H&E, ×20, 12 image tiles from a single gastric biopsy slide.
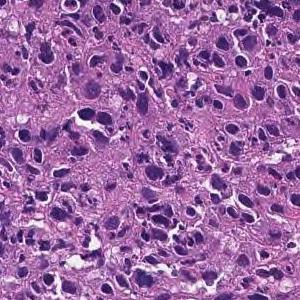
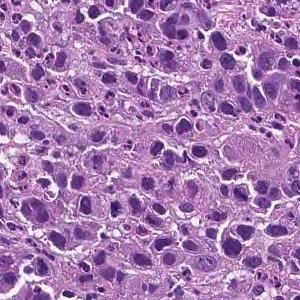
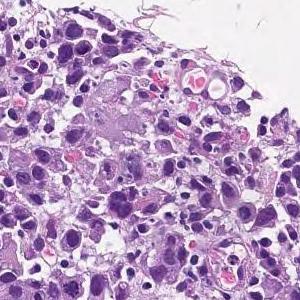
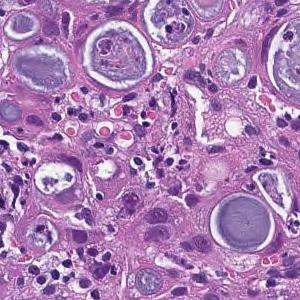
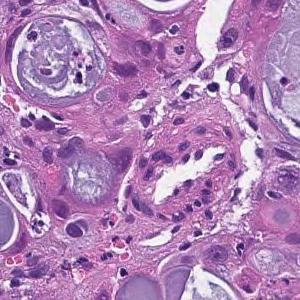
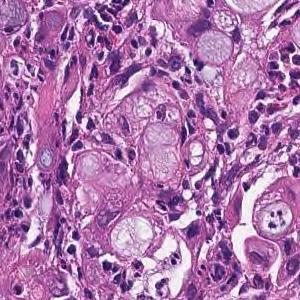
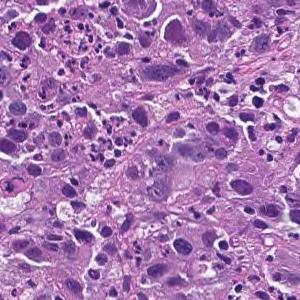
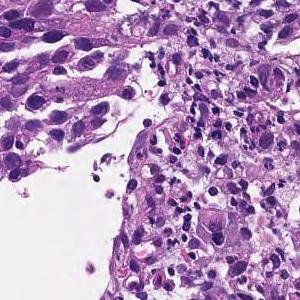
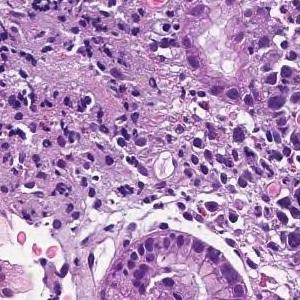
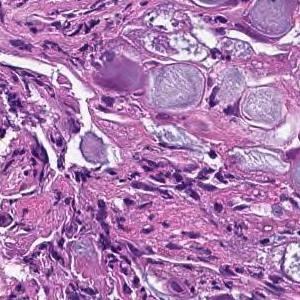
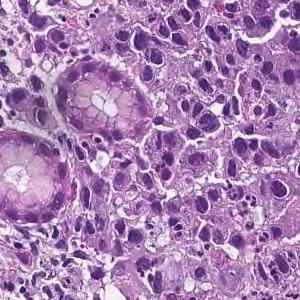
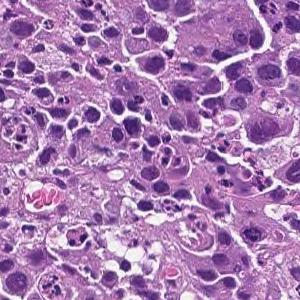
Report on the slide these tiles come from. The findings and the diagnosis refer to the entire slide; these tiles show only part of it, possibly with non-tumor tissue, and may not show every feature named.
The superficial epithelium shows a large sheet-like shape, and some tumor tissue infiltrates with small irregular ducts. Poorly differentiated adenocarcinoma, solid-type
Histologic type: Poorly differentiated adenocarcinoma, solid type. This name comes from the Japanese Classification of Gastric Carcinoma; the WHO 2019 classification calls it tubular adenocarcinoma, poorly differentiated.
